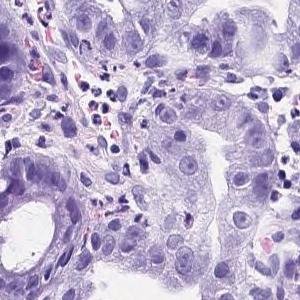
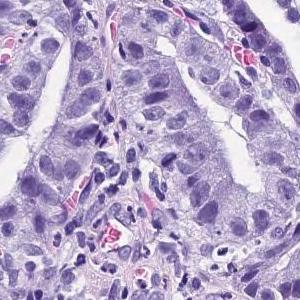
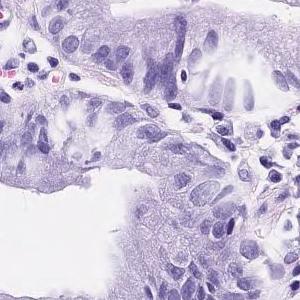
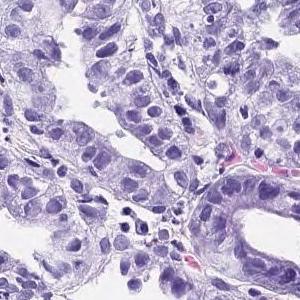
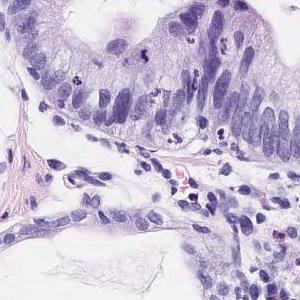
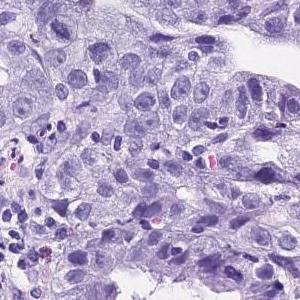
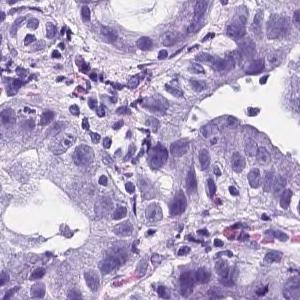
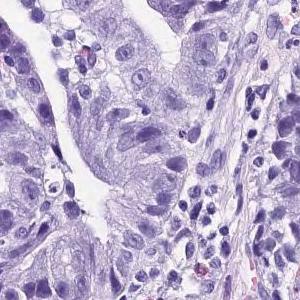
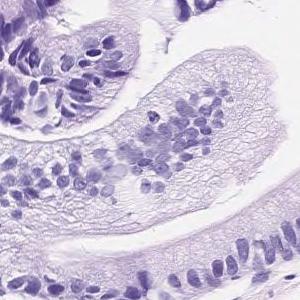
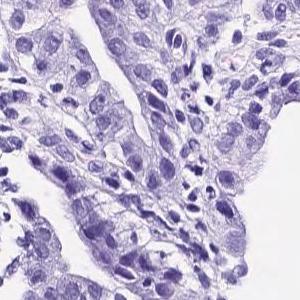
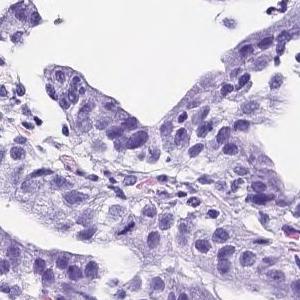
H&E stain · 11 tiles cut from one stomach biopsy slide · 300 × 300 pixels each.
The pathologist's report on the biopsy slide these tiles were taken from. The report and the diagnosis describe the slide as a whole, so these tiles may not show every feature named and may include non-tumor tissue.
Tumor tissue consisting of medium-sized and irregular ducts is observed infiltrating in the superficial epithelium. Tumor cells are highly columnar, with nuclei aligned basolaterally and polarized. Well differentiated tubular adenocarcinoma.
